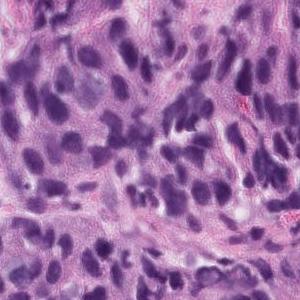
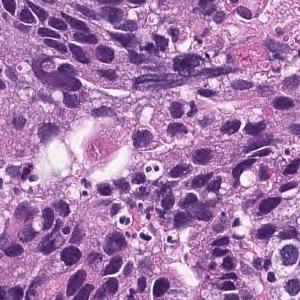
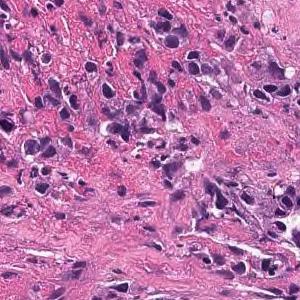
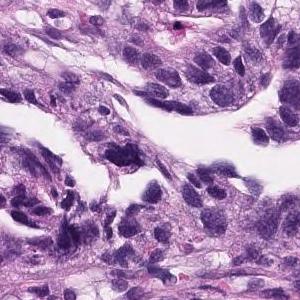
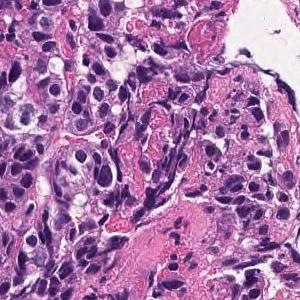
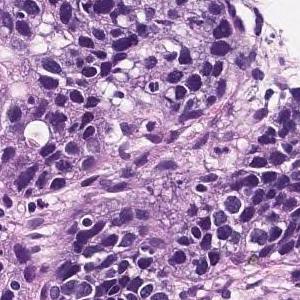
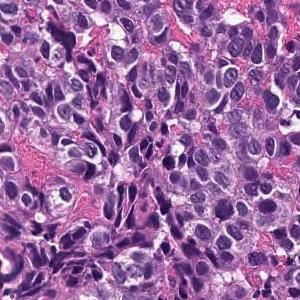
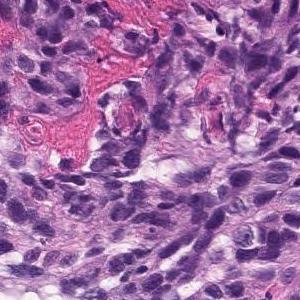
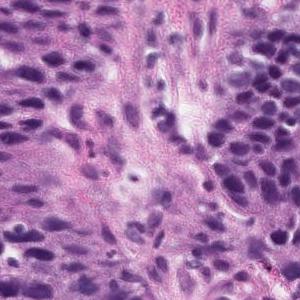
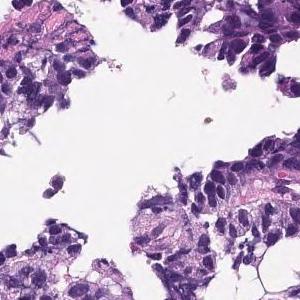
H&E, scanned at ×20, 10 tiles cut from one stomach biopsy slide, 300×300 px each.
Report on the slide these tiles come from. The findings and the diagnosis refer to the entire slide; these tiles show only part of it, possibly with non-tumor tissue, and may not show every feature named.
Medium to small, irregular glandular ducts are formed in the superficial epithelium, and in some cases, the glandular ducts are fused to show solid alveolar lesions and infiltrating tumor tissue is observed. Moderately to poorly differentiated adenocarcinoma.
